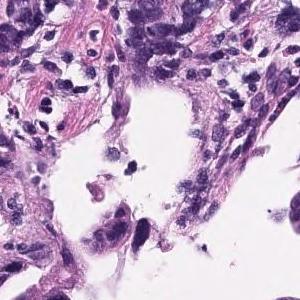
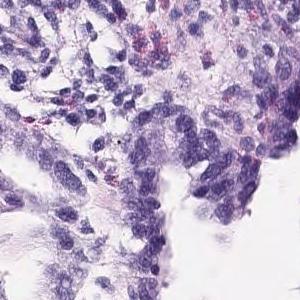
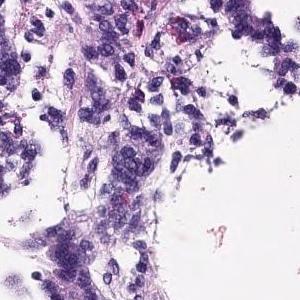
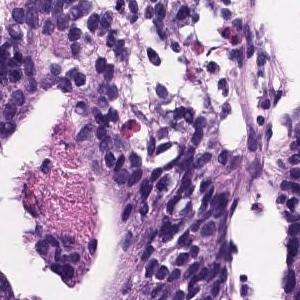
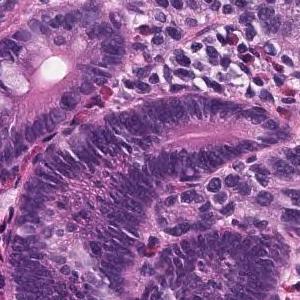
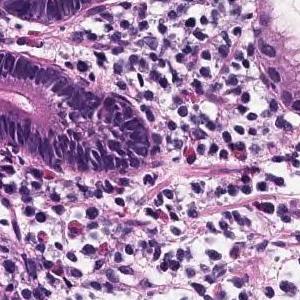
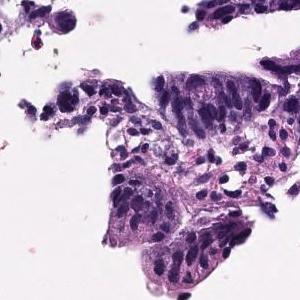
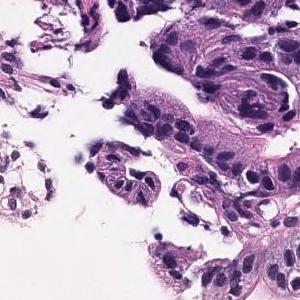
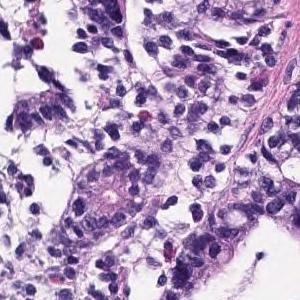
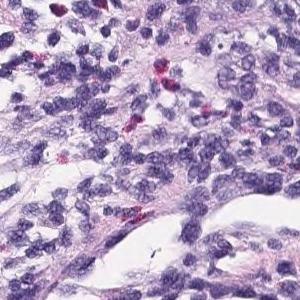
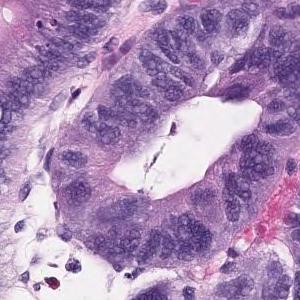
11 patches cut from one gastric biopsy slide · 20× magnification.
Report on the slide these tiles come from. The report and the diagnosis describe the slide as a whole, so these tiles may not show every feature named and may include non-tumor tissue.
Tumor cells are large, highly columnar, large club-shaped nuclei, and are associated with chromatin aggregation. Papillary adenocarcinoma.
